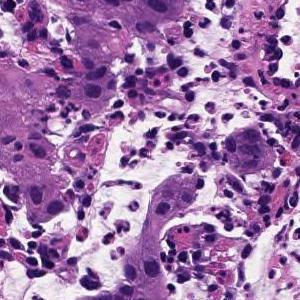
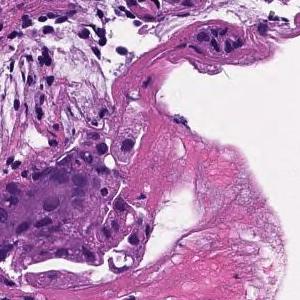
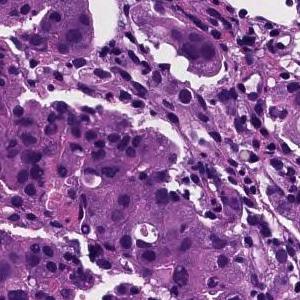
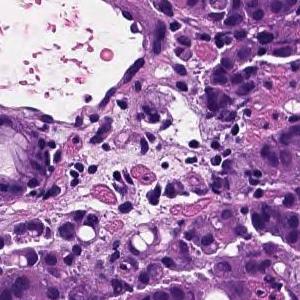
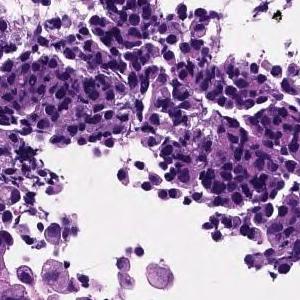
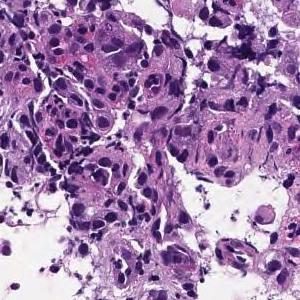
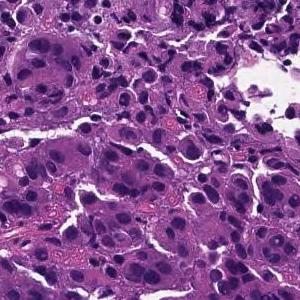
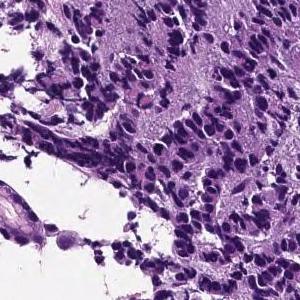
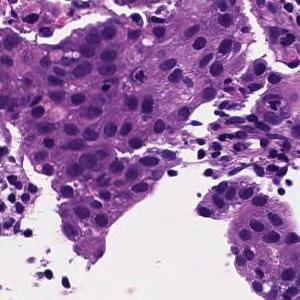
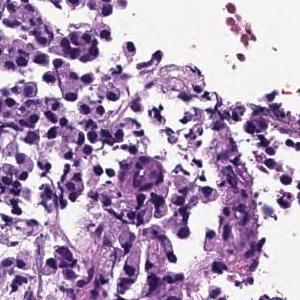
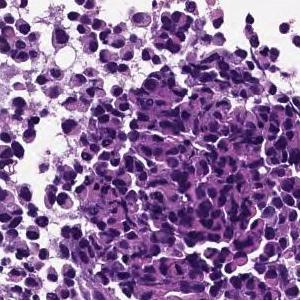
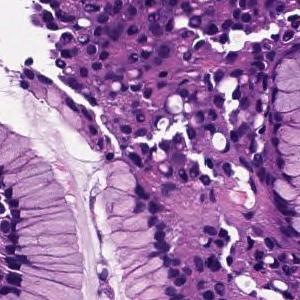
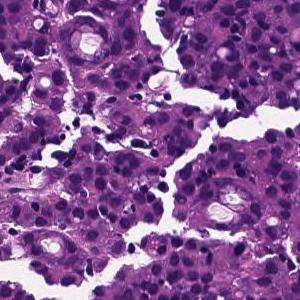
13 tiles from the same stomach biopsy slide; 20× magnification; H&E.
Report on the slide these tiles come from. The report and the diagnosis cover the entire slide, so not every feature they name need be visible here, and some tissue shown may not be tumor.
The superficial epithelium shows a large sheet-like shape, and some tumor tissue infiltrates with small irregular ducts. Poorly differentiated adenocarcinoma, solid-type
Classified as poorly differentiated adenocarcinoma, solid type, a category of the Japanese Classification of Gastric Carcinoma; in the WHO 2019 classification it is tubular adenocarcinoma, poorly differentiated.
